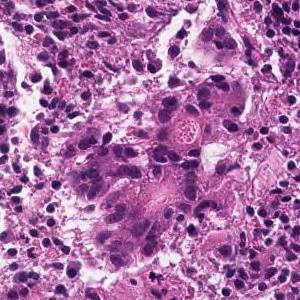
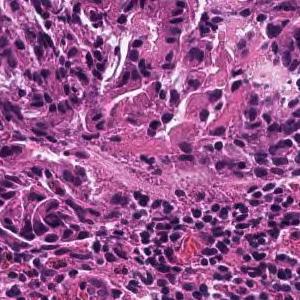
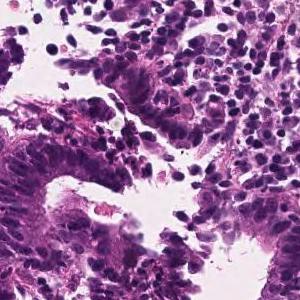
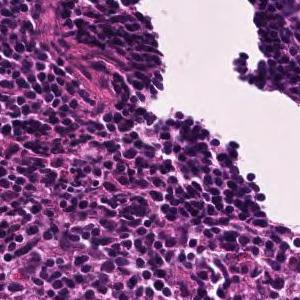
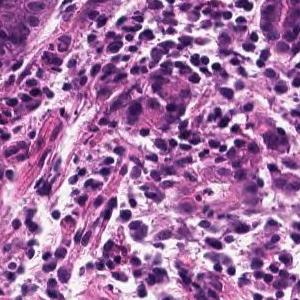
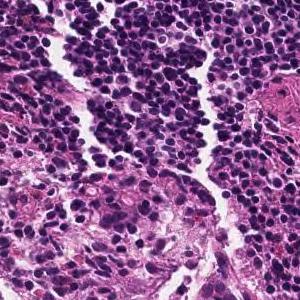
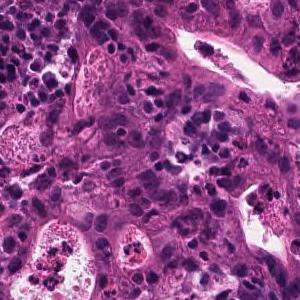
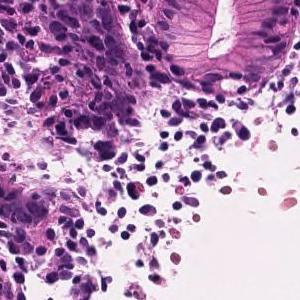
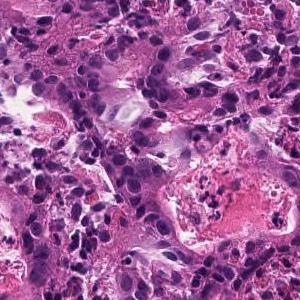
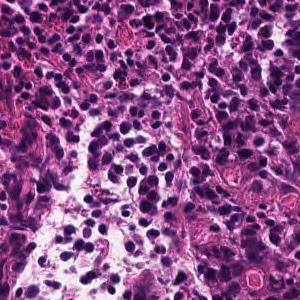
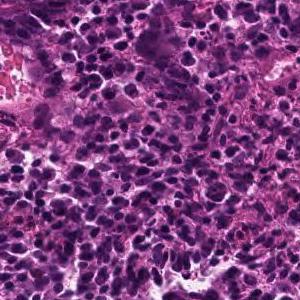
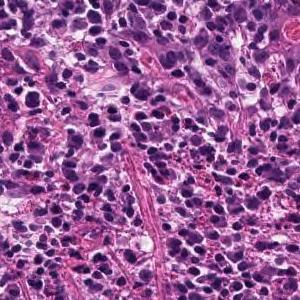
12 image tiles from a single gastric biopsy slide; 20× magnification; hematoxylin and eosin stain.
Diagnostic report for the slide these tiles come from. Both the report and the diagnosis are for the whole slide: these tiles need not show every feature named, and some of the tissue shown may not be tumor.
Tumor tissue consisting of medium-sized, cord-like or irregular glandular infiltration is observed in the superficial epithelium. Poorly differentiated adenocarcinoma, non-solid type or moderately differentiated tubular adenocarcinoma
The dataset labels this slide poorly differentiated adenocarcinoma, non-solid type.
The non-solid type named here is a Japanese Classification of Gastric Carcinoma category.
